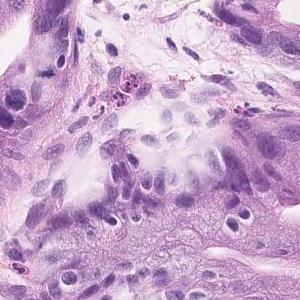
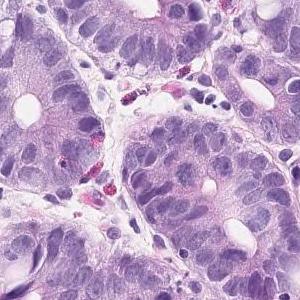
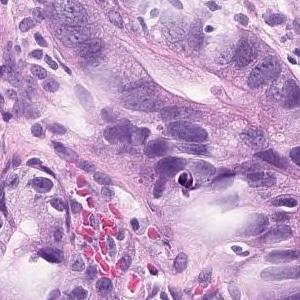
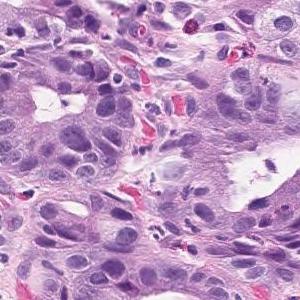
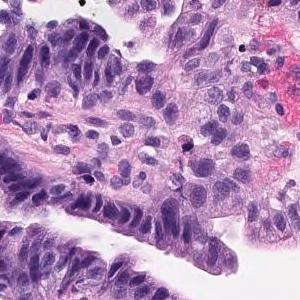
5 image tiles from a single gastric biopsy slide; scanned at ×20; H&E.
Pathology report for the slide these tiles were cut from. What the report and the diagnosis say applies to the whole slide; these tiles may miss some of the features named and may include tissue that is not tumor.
On the superficial epithelium, tumor tissue consisting of medium-sized to large-sized, round or irregular glandular duct growth images is observed. Well differentiated adenocarcinoma.
Tumor subtype: well differentiated tubular adenocarcinoma.
